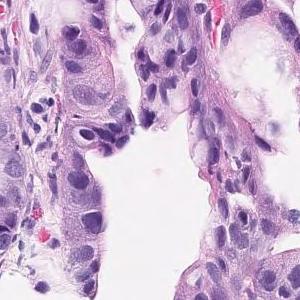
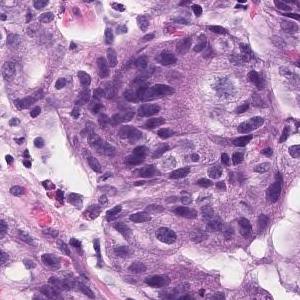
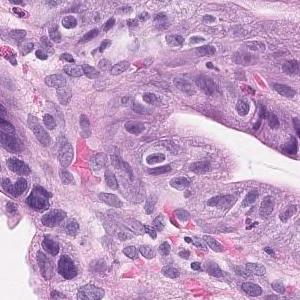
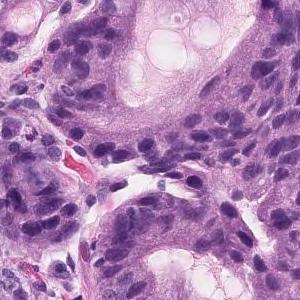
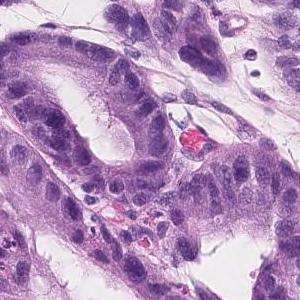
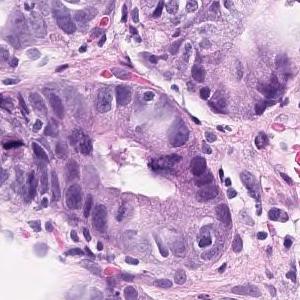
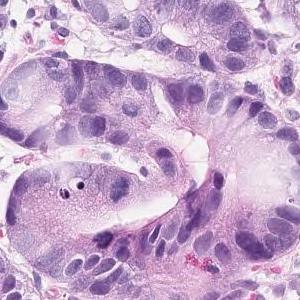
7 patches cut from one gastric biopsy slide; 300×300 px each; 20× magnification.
Pathology report for the slide these tiles were cut from. The report and the diagnosis cover the entire slide, so not every feature they name need be visible here, and some tissue shown may not be tumor.
On the superficial epithelium, tumor tissue consisting of medium-sized to large-sized, round or irregular glandular duct growth images is observed. Well differentiated adenocarcinoma.
Histologic type: Well differentiated tubular adenocarcinoma.
